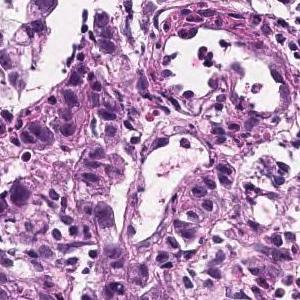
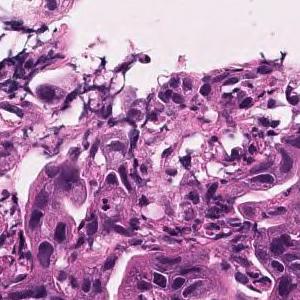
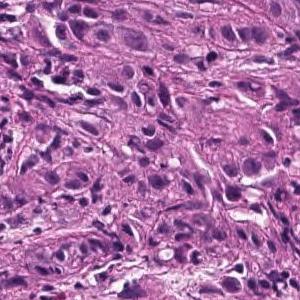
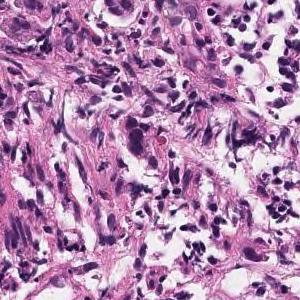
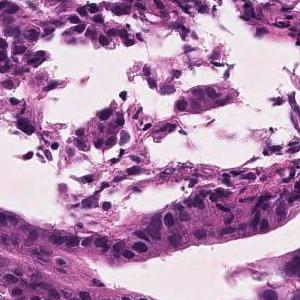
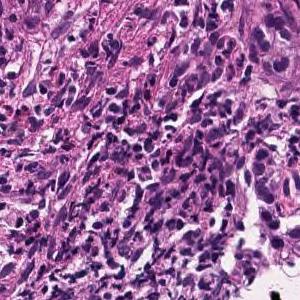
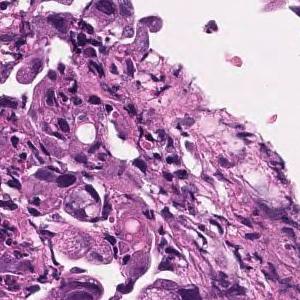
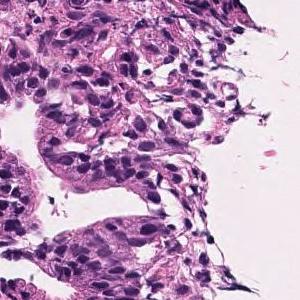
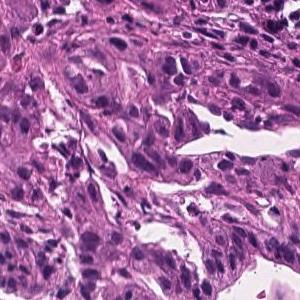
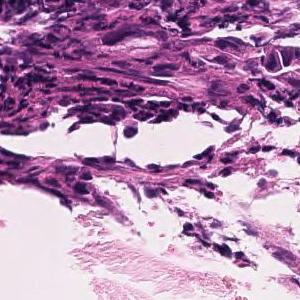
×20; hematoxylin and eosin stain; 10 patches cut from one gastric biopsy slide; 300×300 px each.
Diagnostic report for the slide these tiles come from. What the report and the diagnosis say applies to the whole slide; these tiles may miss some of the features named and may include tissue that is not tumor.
Tumor tissue consisting of medium-sized, cord-like or irregular glandular infiltration is observed in the superficial epithelium. Poorly differentiated adenocarcinoma, non-solid type or moderately differentiated tubular adenocarcinoma
The term "non-solid type" comes from the Japanese Classification of Gastric Carcinoma.
